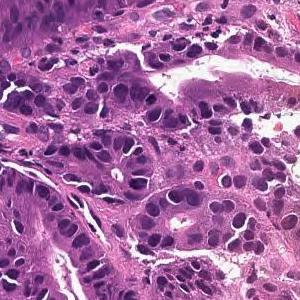
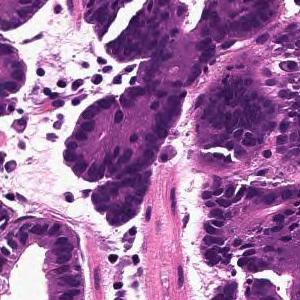
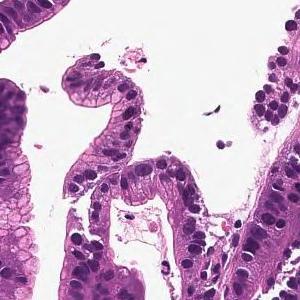
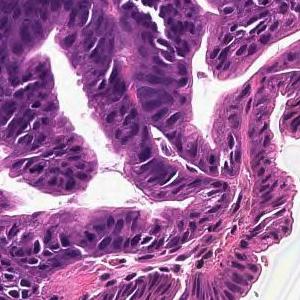
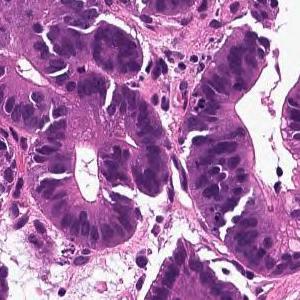
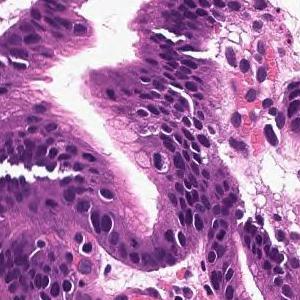
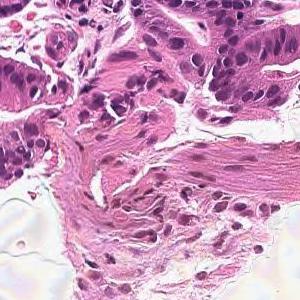
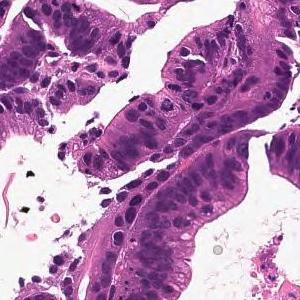
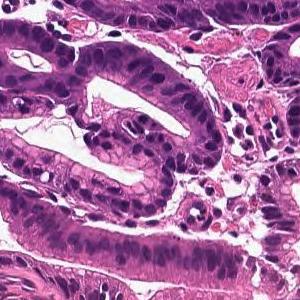
×20, hematoxylin and eosin stain, 9 tiles from the same stomach biopsy slide.
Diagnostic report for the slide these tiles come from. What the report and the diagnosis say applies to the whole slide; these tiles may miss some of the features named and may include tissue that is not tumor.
From the superficial epithelium to the muscularis mucosae, tumor tissue consisting of medium-sized and irregular glandular ducts infiltrating is observed. Well differentiated tubular adenocarcinoma
